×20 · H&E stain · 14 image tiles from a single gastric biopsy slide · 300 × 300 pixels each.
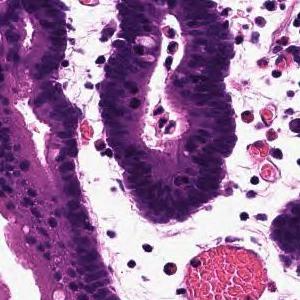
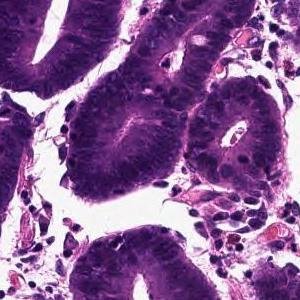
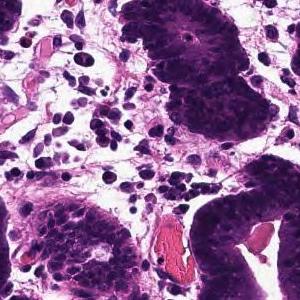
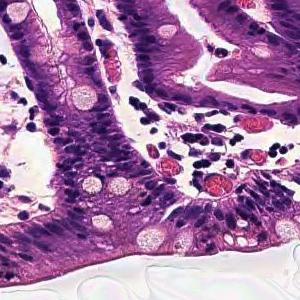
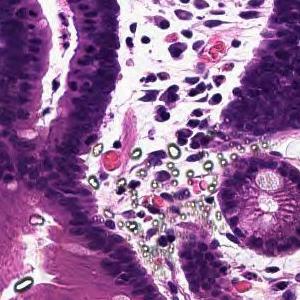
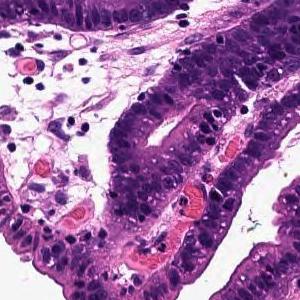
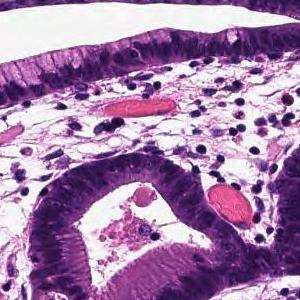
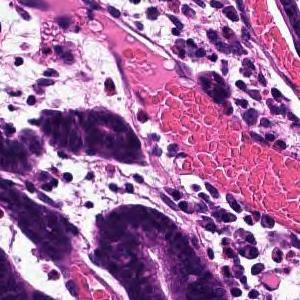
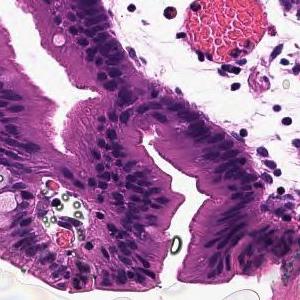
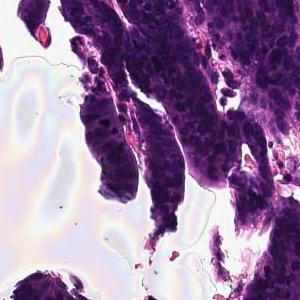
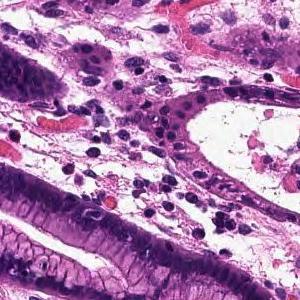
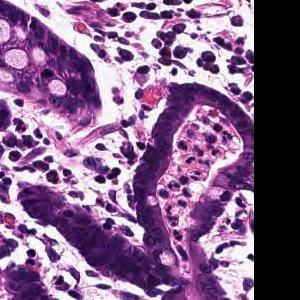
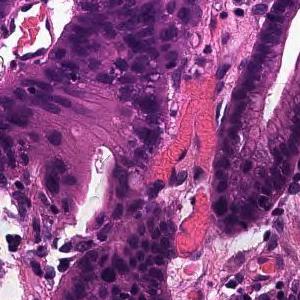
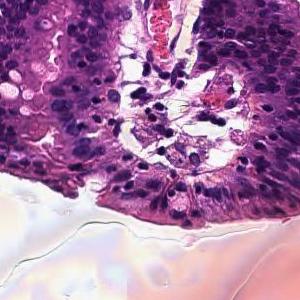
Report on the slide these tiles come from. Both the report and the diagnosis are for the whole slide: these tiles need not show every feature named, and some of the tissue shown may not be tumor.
Tumor tissue that infiltrates by forming large papillary or large irregular glandular ducts is observed confined to the mucosa. Papillary adenocarcinoma
